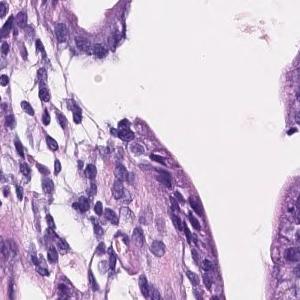
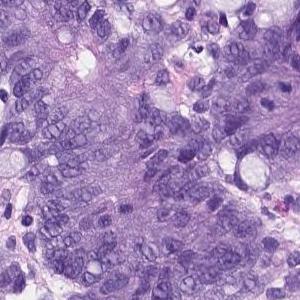
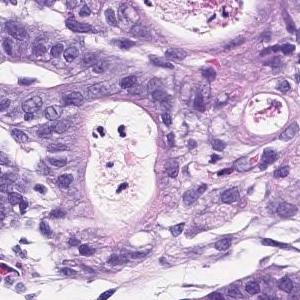
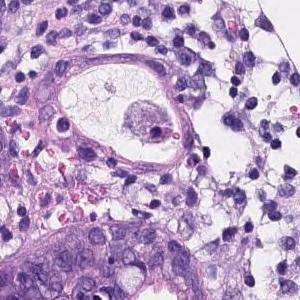
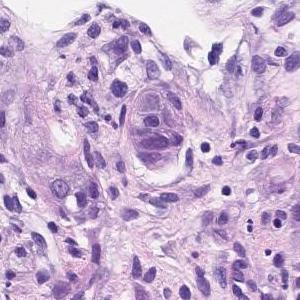
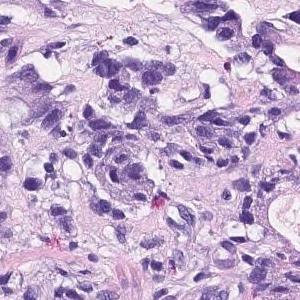
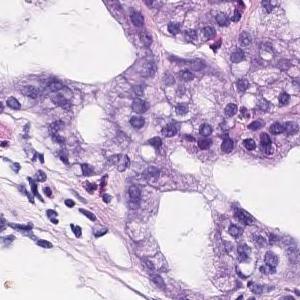
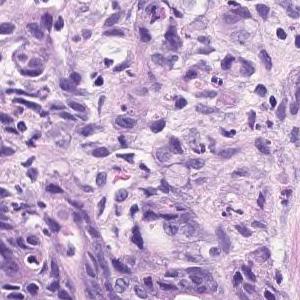
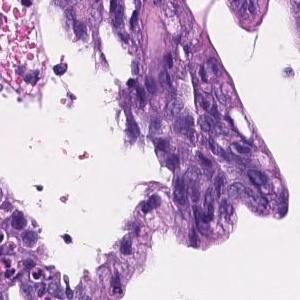
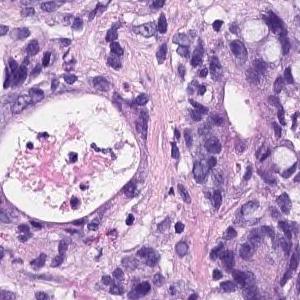
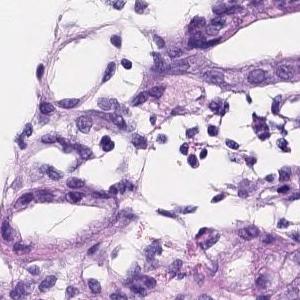
11 tiles cut from one stomach biopsy slide.
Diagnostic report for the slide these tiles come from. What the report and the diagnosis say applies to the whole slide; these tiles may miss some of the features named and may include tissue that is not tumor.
Irregularly fused atypical ducts proliferating while replacing existing ducts was observed. moderately differentiated tubular adenocarcinoma
